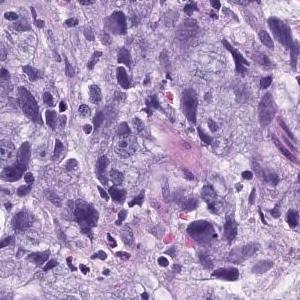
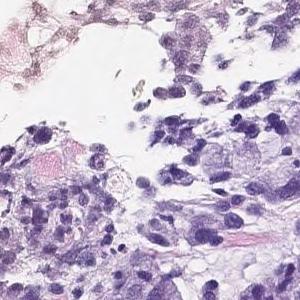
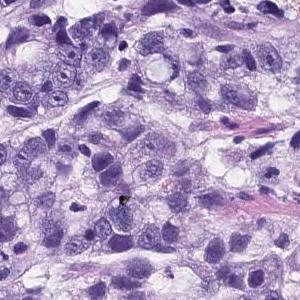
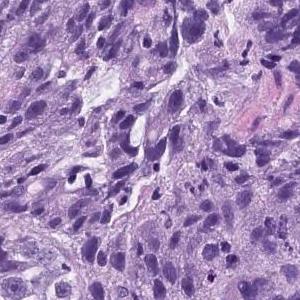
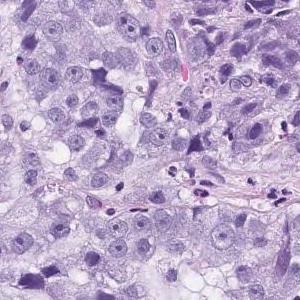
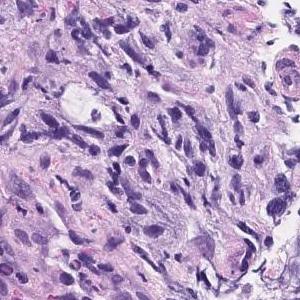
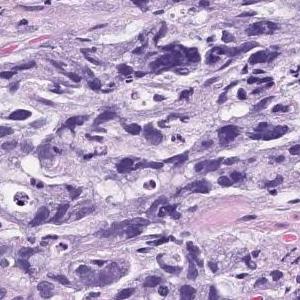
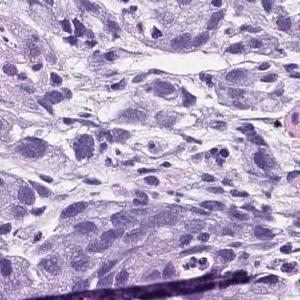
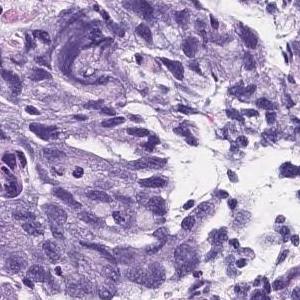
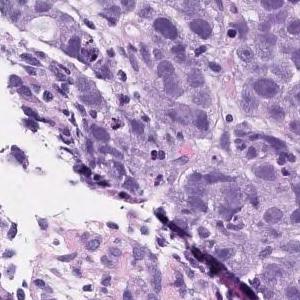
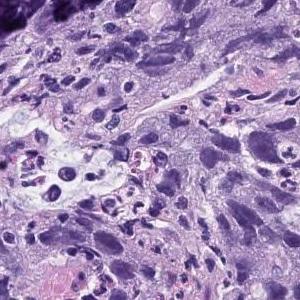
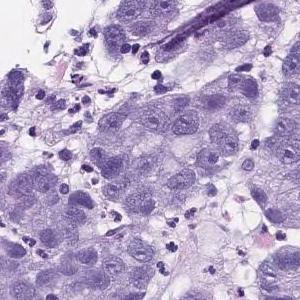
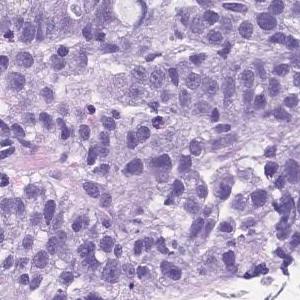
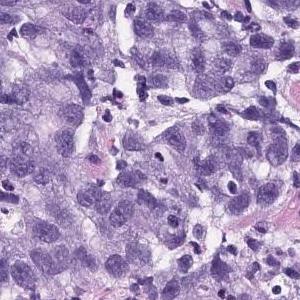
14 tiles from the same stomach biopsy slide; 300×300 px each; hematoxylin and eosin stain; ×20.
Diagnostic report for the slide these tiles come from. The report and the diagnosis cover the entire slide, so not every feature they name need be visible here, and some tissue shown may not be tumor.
Atypical l cells with atypical nuclei forming solid vesicles or small irregular atypical ducts that proliferate in a complex manner. poorly differentiated adenocarcinoma, solid type, moderately differentiated tubular adenocarcinoma
"Solid type" is a category of the Japanese Classification of Gastric Carcinoma; in the WHO 2019 classification it is tubular adenocarcinoma, poorly differentiated.
